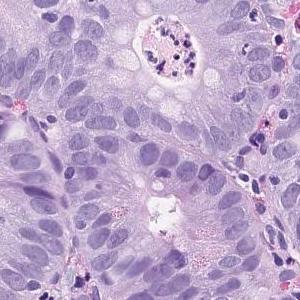
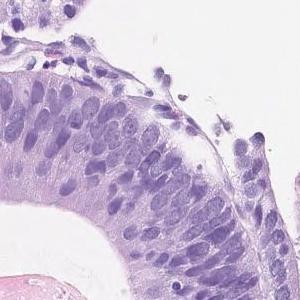
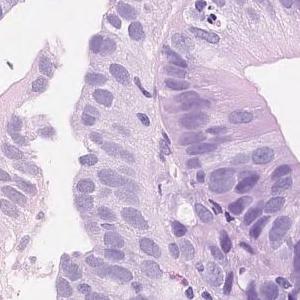
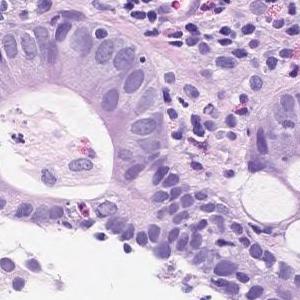
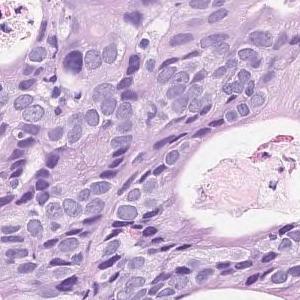
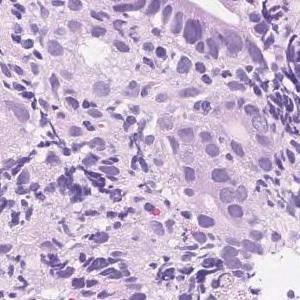
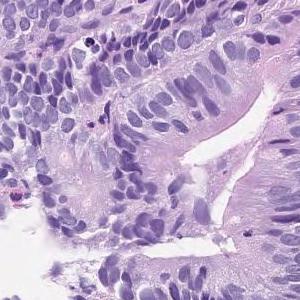
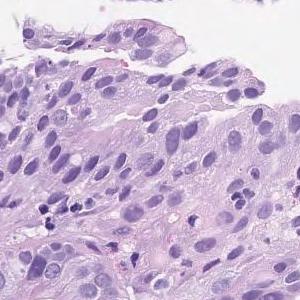
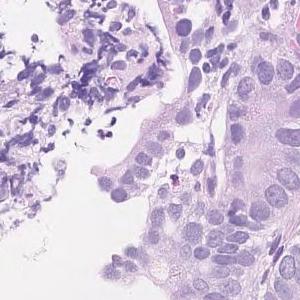
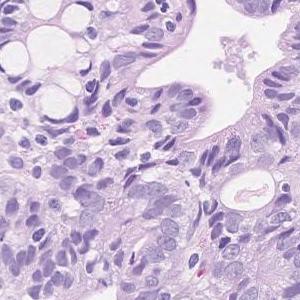
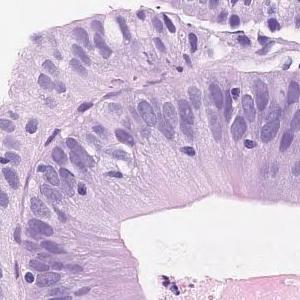
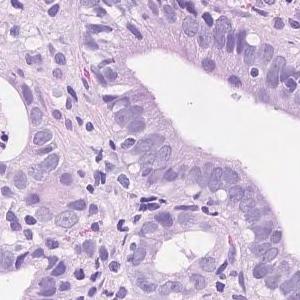
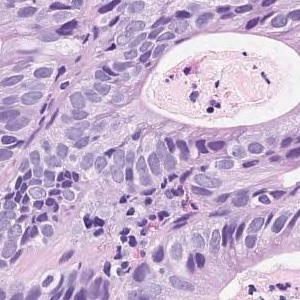
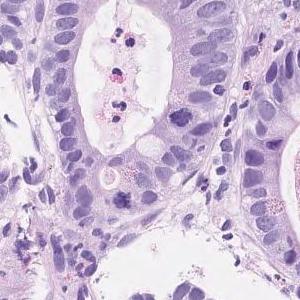
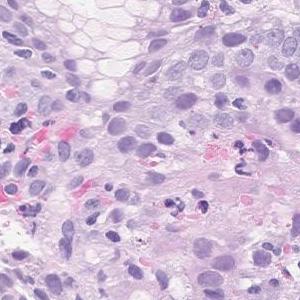
H&E; 15 tiles cut from one stomach biopsy slide; each 300 × 300 pixels.
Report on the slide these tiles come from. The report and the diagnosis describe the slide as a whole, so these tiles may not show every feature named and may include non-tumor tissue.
On the superficial epithelium, tumor tissue consisting of medium to small irregular tubules partially fused and proliferated is observed. moderately differentiated tubular adenocarcinoma
